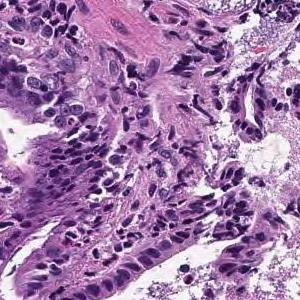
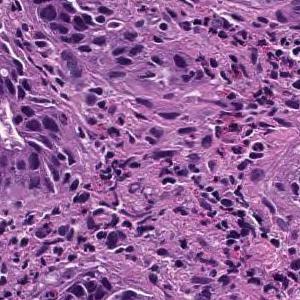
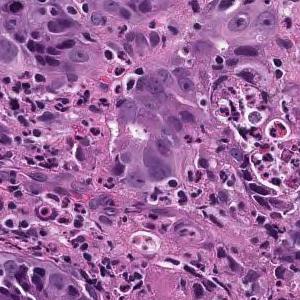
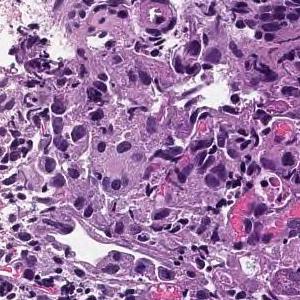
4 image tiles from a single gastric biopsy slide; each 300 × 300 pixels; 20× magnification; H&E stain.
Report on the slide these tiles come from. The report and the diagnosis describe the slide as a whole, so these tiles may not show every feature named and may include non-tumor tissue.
On the superficial epithelium, tumor tissue consisting of large, irregular glandular ducts partially fused and infiltrated is observed. Well to moderately differentiated tubular adenocarcinoma (well differentiated tubular adenocarcinoma, moderately differentiated tubular adenocarcinoma)
Subtype: Well to moderately differentiated tubular adenocarcinoma.
